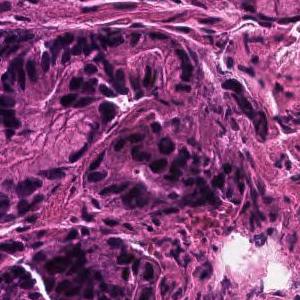
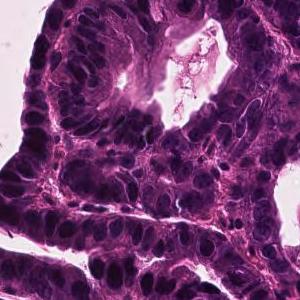
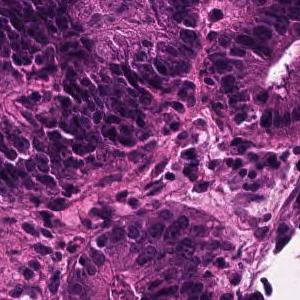
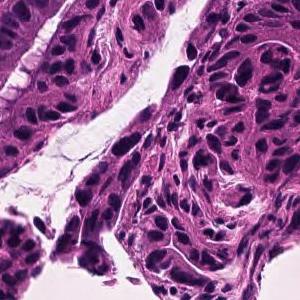
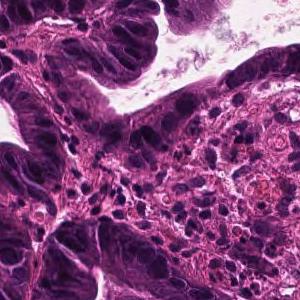
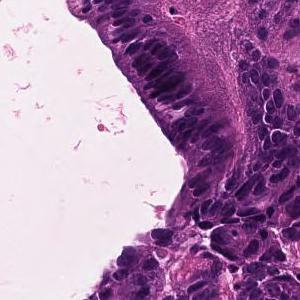
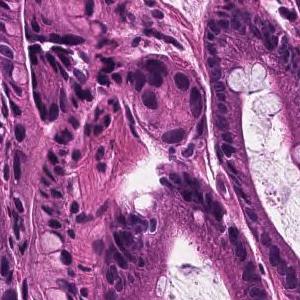
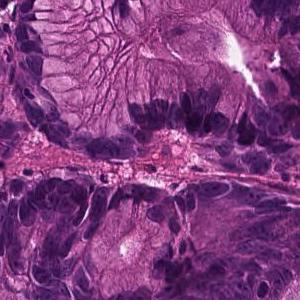
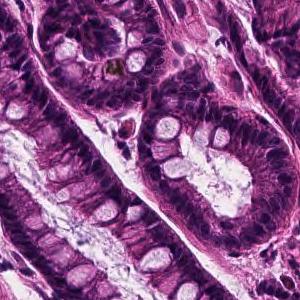
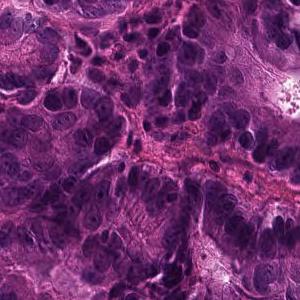
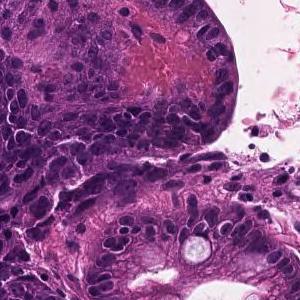
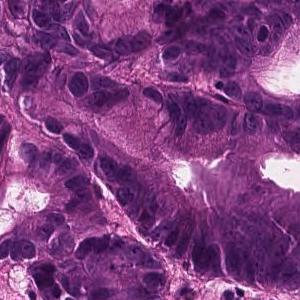
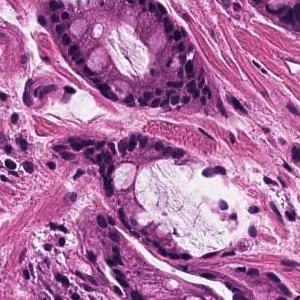
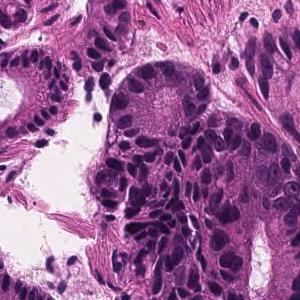
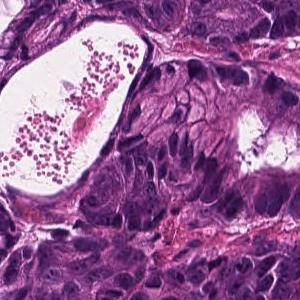
H&E; scanned at ×20; 15 image tiles from a single gastric biopsy slide.
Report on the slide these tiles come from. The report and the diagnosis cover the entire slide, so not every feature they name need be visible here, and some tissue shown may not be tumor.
In the superficial epithelium, tumor tissue that invades by forming medium-sized to small, irregular ducts is observed. Well differentiated tubular adenocarcinoma.
